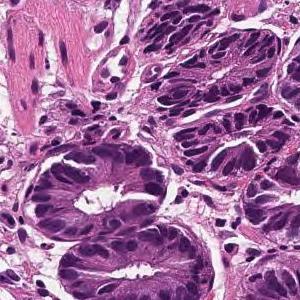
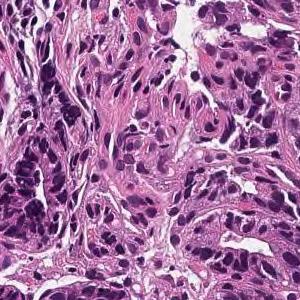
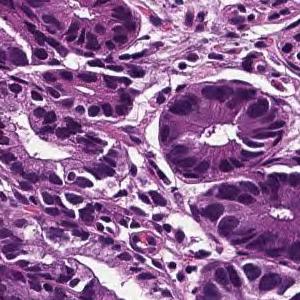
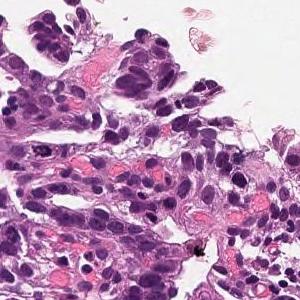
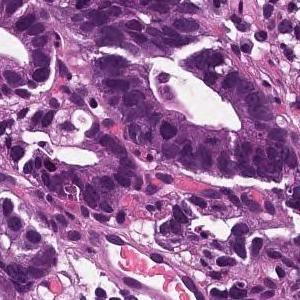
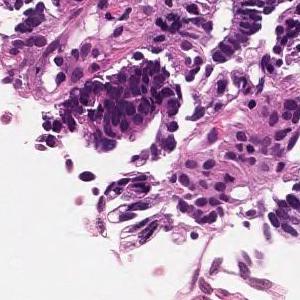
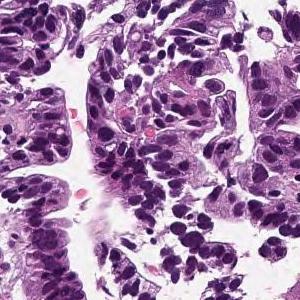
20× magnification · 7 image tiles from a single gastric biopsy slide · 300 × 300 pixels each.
Diagnostic report for the slide these tiles come from. The findings and the diagnosis refer to the entire slide; these tiles show only part of it, possibly with non-tumor tissue, and may not show every feature named.
From the superficial epithelium to the muscularis mucosae, tumor tissue consisting of medium-sized and irregular glandular ducts infiltrating is observed. Well differentiated tubular adenocarcinoma
